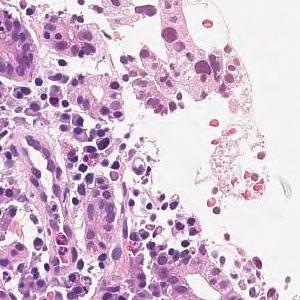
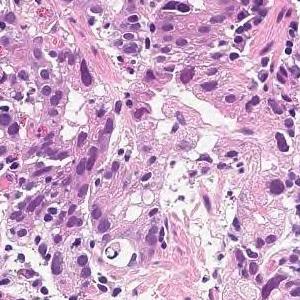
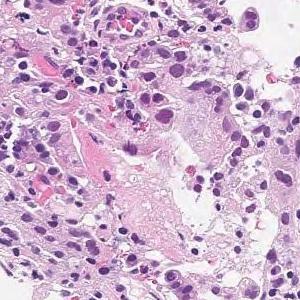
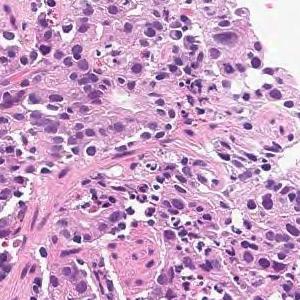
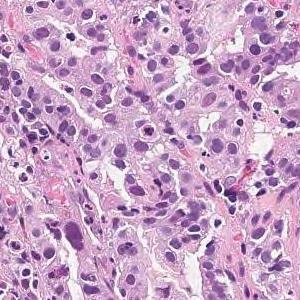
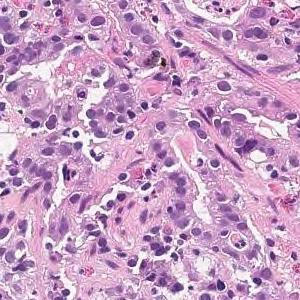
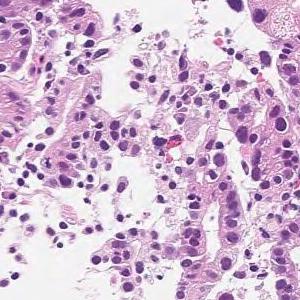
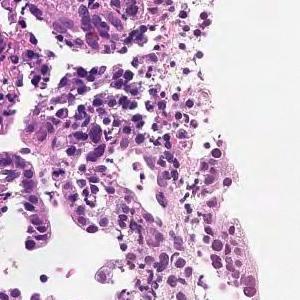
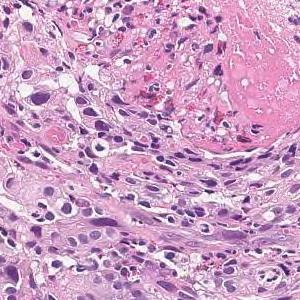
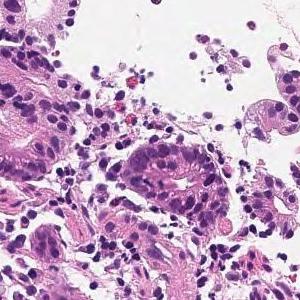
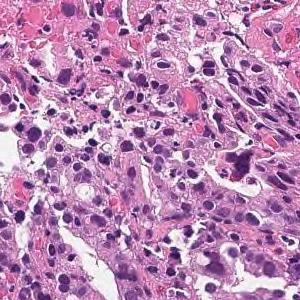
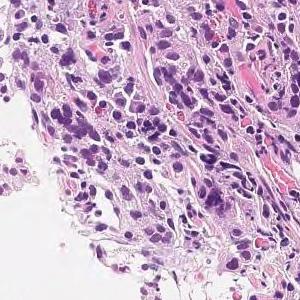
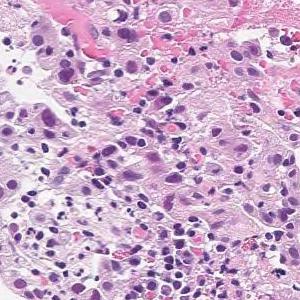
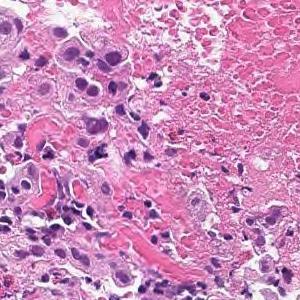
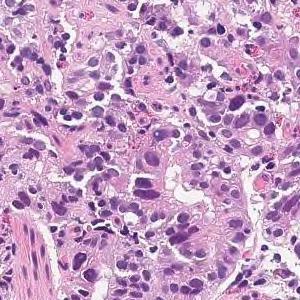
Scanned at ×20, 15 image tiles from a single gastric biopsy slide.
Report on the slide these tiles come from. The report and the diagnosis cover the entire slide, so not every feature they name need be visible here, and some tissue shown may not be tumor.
In the superficial epithelium, tumor tissue that invades by forming medium-sized to small, irregular ducts is observed. moderately differentiated tubular adenocarcinoma.
